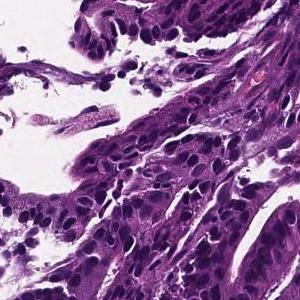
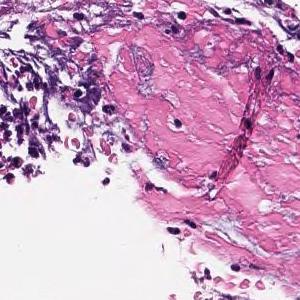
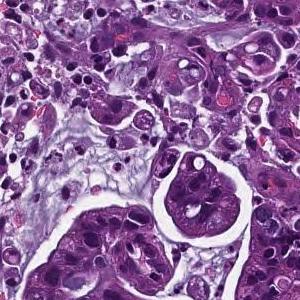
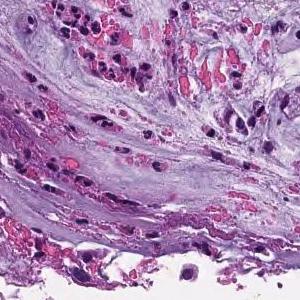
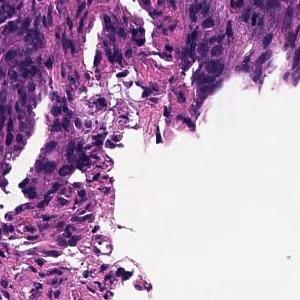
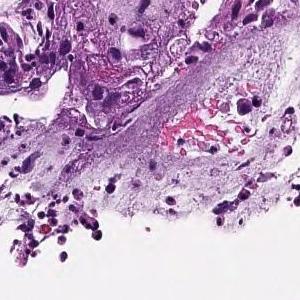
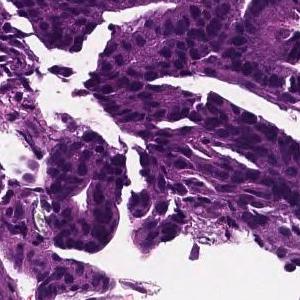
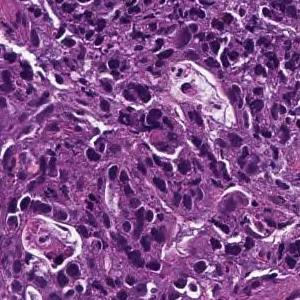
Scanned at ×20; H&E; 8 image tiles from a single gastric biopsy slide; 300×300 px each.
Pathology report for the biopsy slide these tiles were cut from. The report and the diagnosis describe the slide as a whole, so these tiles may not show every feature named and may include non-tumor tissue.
On the superficial epithelium, tumor tissue consisting of large irregular glandular ducts partially fused and infiltrated is observed. Well to moderately differentiated tubular adenocarcinoma (well differentiated tubular adenocarcinoma, moderately differentiated tubular adenocarcinoma)
Classified as well to moderately differentiated tubular adenocarcinoma.
